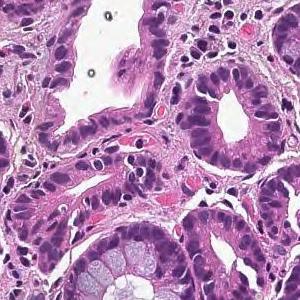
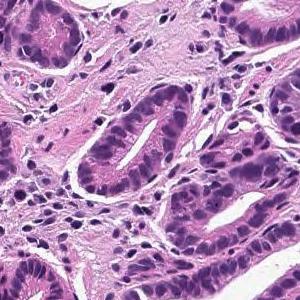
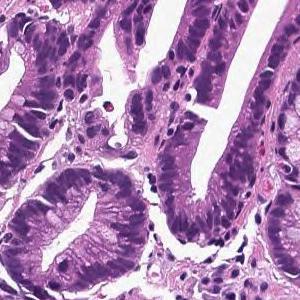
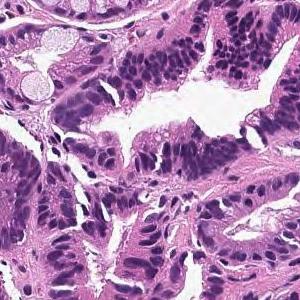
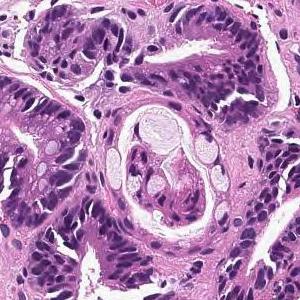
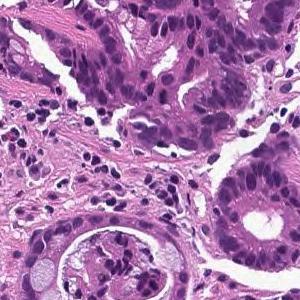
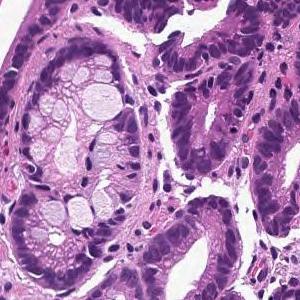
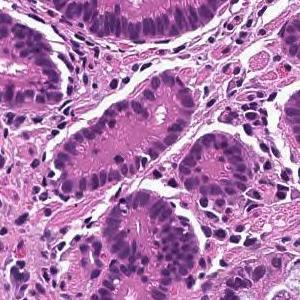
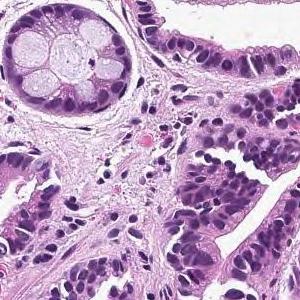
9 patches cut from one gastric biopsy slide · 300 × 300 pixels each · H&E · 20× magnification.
Pathology report for the biopsy slide these tiles were cut from. The report describes the whole slide, diagnosis included: not every finding it names need appear in these tiles, which may also show non-tumor tissue.
From the superficial epithelium to the muscularis mucosae, tumor tissue consisting of medium-sized and irregular glandular ducts infiltrating is observed. Well differentiated tubular adenocarcinoma
